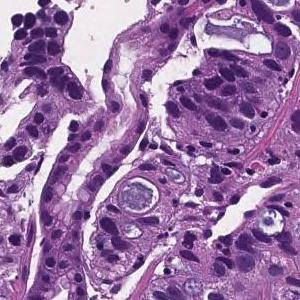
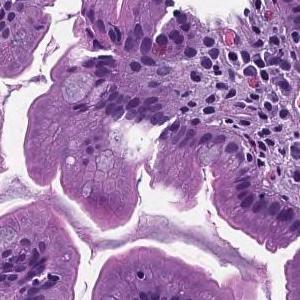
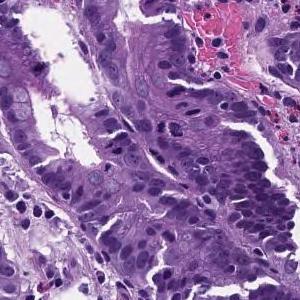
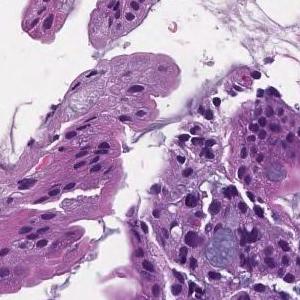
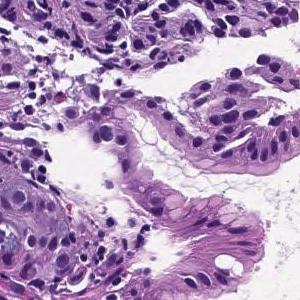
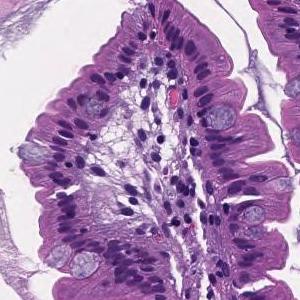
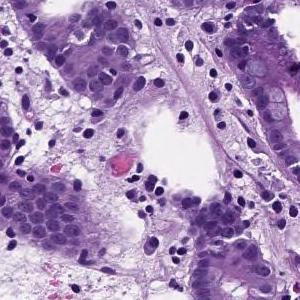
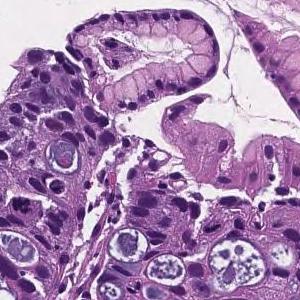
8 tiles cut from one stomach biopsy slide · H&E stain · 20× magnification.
Diagnostic report for the slide these tiles come from. What the report and the diagnosis say applies to the whole slide; these tiles may miss some of the features named and may include tissue that is not tumor.
In the superficial epithelium, tumor tissue that invades by forming medium-sized to small, irregular ducts is observed. moderately differentiated tubular adenocarcinoma.
